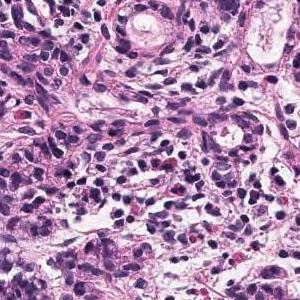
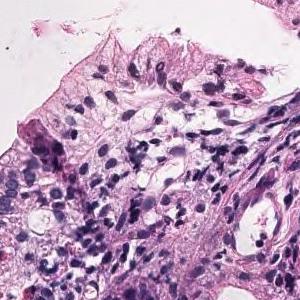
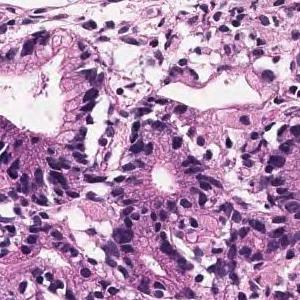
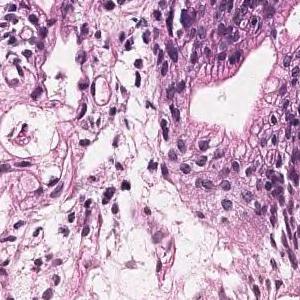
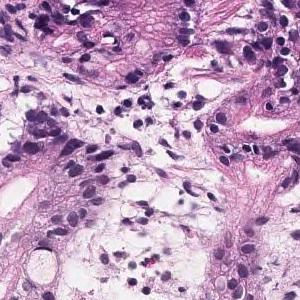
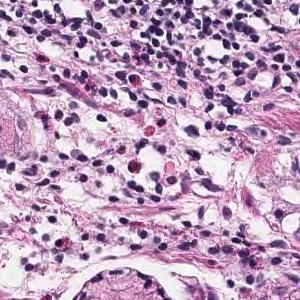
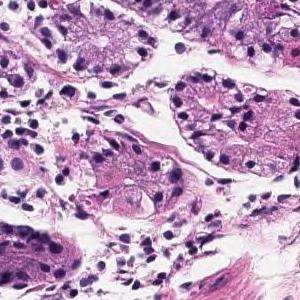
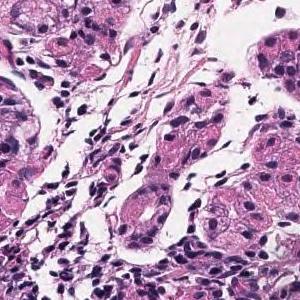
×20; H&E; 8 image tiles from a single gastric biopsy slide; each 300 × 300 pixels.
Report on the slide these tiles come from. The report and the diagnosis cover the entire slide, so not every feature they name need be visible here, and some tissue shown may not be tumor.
Tumor tissue that grows and grows is observed, showing a medium-sized round or irregular duct. moderately differentiated tubular adenocarcinoma
